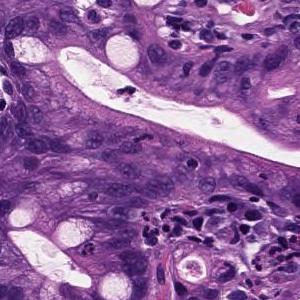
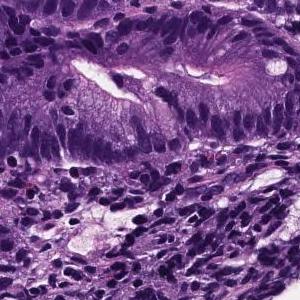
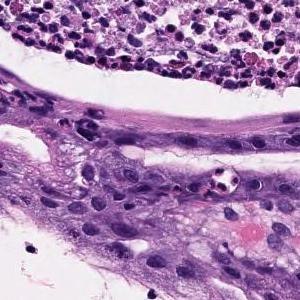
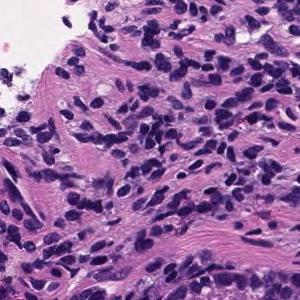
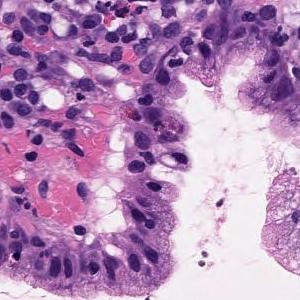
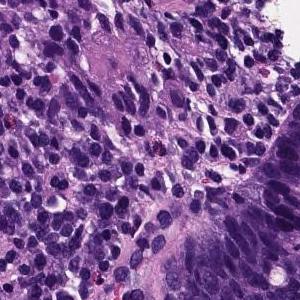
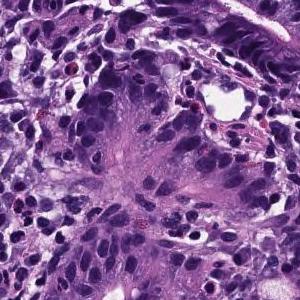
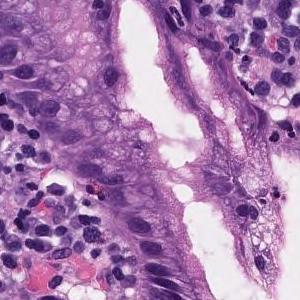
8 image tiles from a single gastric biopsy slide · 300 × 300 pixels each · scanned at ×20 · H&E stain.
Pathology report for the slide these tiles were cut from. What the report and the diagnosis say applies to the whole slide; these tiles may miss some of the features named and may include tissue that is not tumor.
Medium to small, irregular glandular ducts are formed in the superficial epithelium, and in some cases, the glandular ducts are fused to show solid alveolar lesions and infiltrating tumor tissue is observed. Moderately to poorly differentiated adenocarcinoma.
